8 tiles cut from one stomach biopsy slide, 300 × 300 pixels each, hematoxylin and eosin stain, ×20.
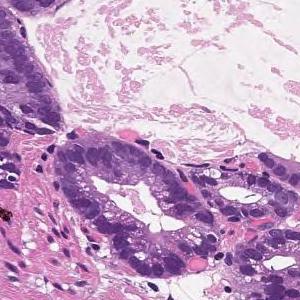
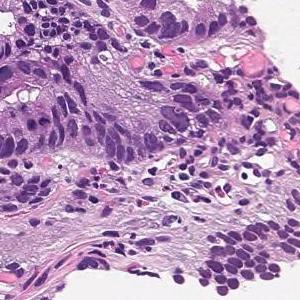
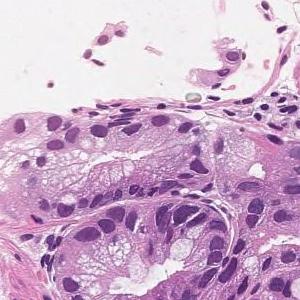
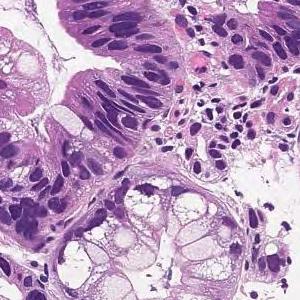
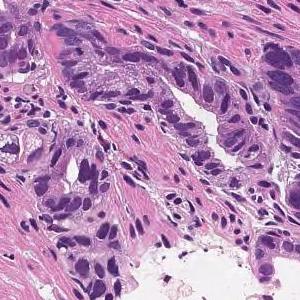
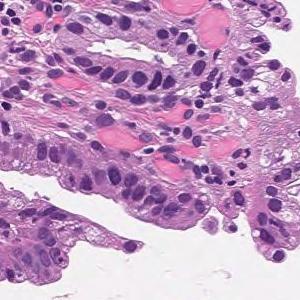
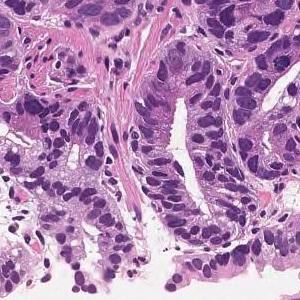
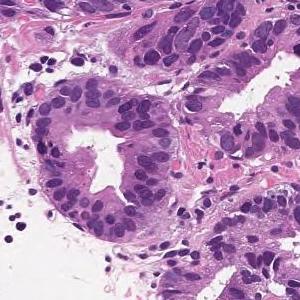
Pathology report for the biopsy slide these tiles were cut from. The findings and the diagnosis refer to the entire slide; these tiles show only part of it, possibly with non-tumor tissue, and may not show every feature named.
On the superficial epithelium, tumor tissue consisting of large irregular glandular ducts partially fused and infiltrated is observed. Well to moderately differentiated tubular adenocarcinoma (well differentiated tubular adenocarcinoma, moderately differentiated tubular adenocarcinoma)
Tumor subtype: well to moderately differentiated tubular adenocarcinoma.
